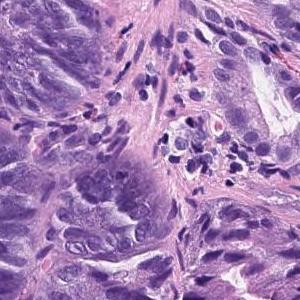
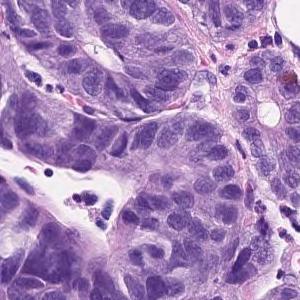
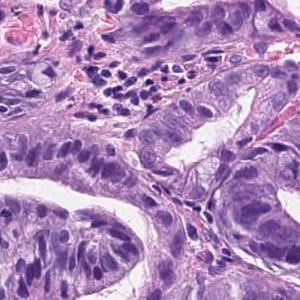
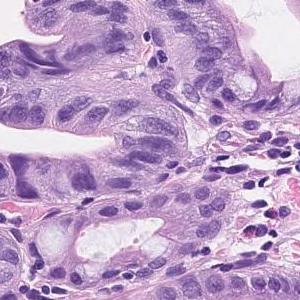
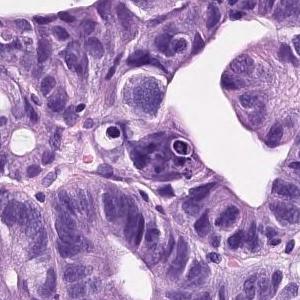
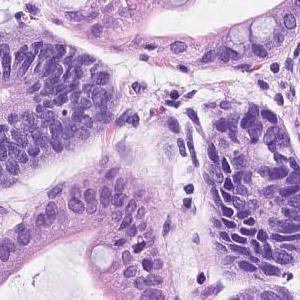
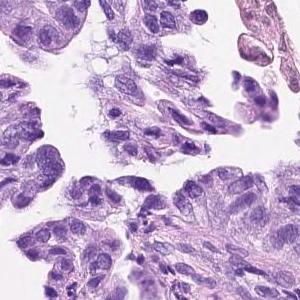
7 tiles from the same stomach biopsy slide · 300×300 px each · H&E · 20× magnification.
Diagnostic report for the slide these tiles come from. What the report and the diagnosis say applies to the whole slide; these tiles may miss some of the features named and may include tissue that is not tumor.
Tumor tissue consisting of medium-sized and irregular ducts is observed infiltrating in the superficial epithelium. Tumor cells are highly columnar, with nuclei aligned basolaterally and polarized. Well differentiated tubular adenocarcinoma.
